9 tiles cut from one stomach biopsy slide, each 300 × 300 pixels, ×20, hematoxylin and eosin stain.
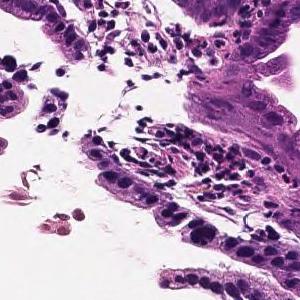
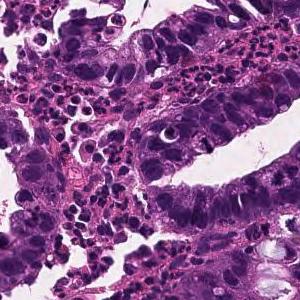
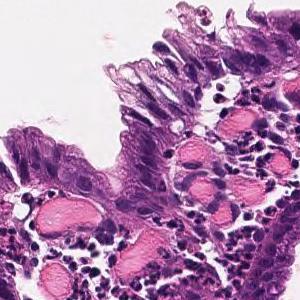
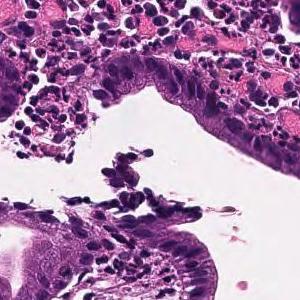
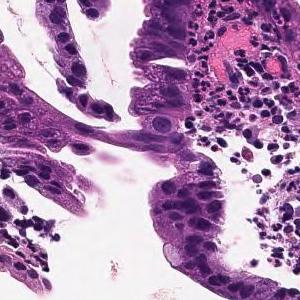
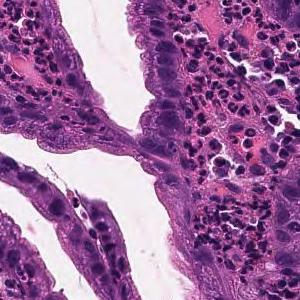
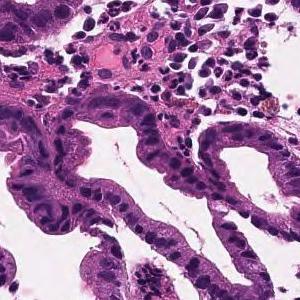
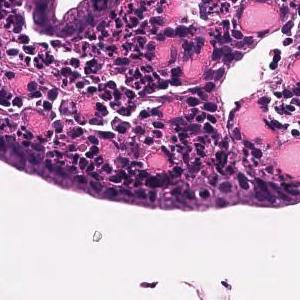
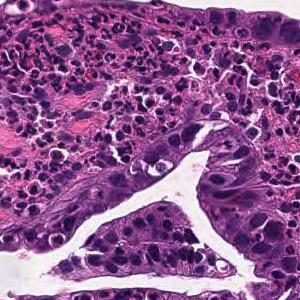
The pathologist's report on the biopsy slide these tiles were taken from. The report and the diagnosis describe the slide as a whole, so these tiles may not show every feature named and may include non-tumor tissue.
From the superficial epithelium to the muscularis mucosae, tumor tissue consisting of medium-sized and irregular glandular ducts infiltrating is observed. Well differentiated tubular adenocarcinoma
